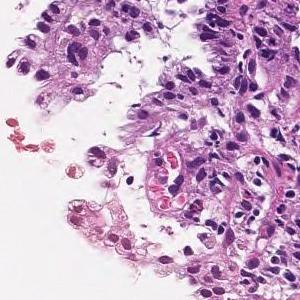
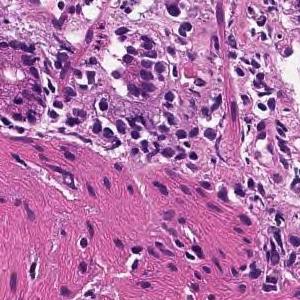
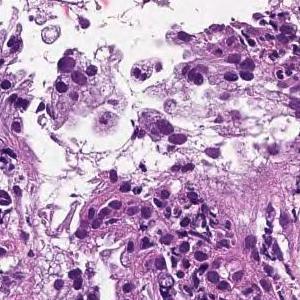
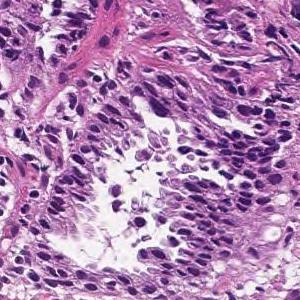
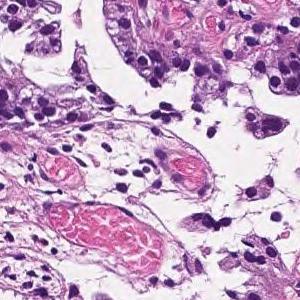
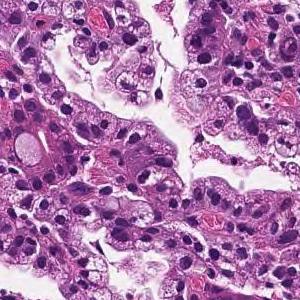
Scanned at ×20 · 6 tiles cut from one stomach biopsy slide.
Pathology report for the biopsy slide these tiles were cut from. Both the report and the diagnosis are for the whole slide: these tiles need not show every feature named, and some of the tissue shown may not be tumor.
On the superficial epithelium, tumor tissue that infiltrates by forming medium-sized papillary or small irregular ducts is observed. Papillary adenocarcinoma
